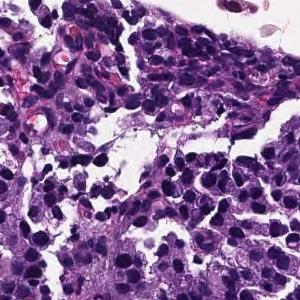
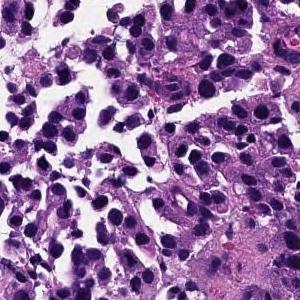
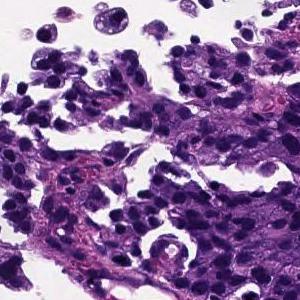
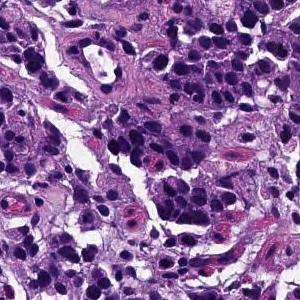
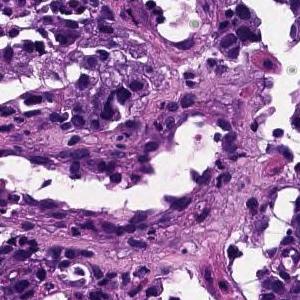
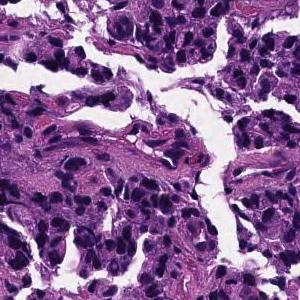
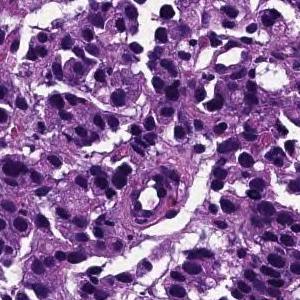
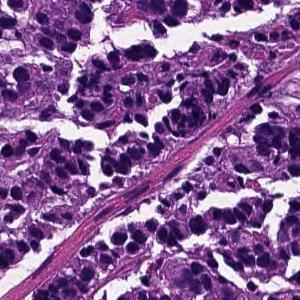
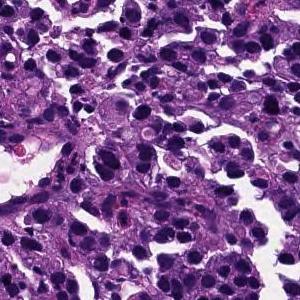
9 image tiles from a single gastric biopsy slide, hematoxylin and eosin stain, 20× magnification.
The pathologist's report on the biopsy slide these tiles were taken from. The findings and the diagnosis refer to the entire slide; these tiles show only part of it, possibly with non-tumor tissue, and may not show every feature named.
The superficial epithelium shows a large alveolar shape and infiltrates tumor tissue. Poorly differentiated adenocarcinoma, solid-type
Histological subtype: Poorly differentiated adenocarcinoma, solid type (Japanese Classification of Gastric Carcinoma). The WHO 2019 equivalent is tubular adenocarcinoma, poorly differentiated.
